10 image tiles from a single gastric biopsy slide · each 300 × 300 pixels · ×20 · H&E stain.
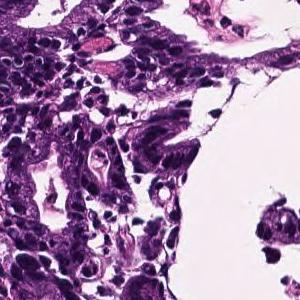
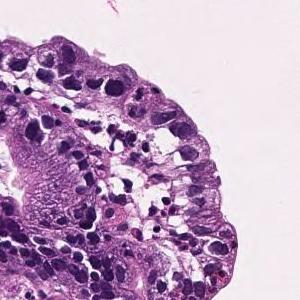
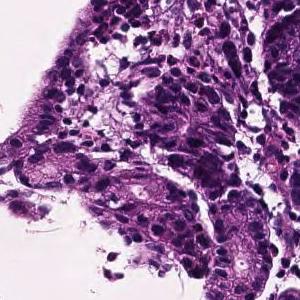
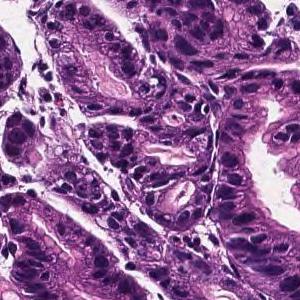
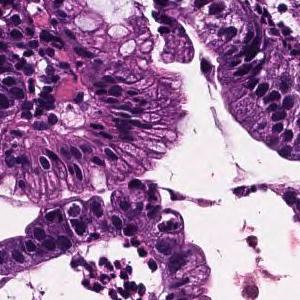
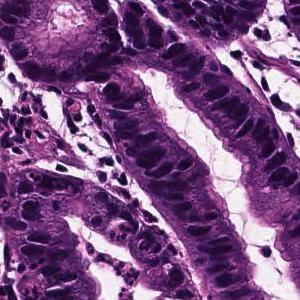
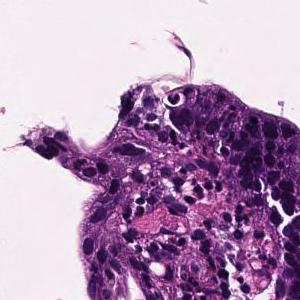
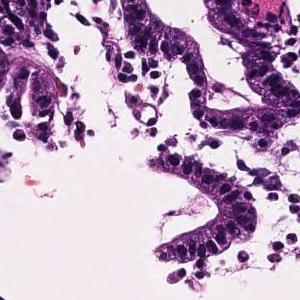
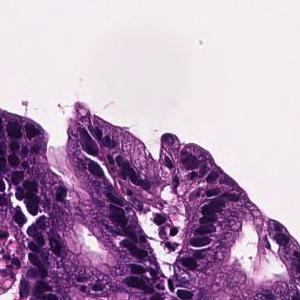
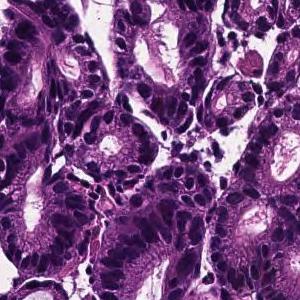
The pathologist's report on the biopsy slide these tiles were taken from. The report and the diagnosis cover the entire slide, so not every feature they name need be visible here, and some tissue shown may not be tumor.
On the superficial epithelium, tumor tissue that infiltrates by forming medium-sized papillary or small irregular ducts is observed. Papillary adenocarcinoma
